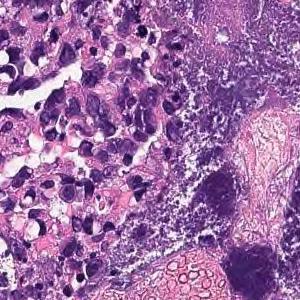
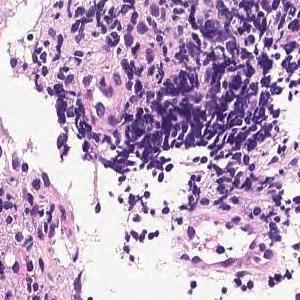
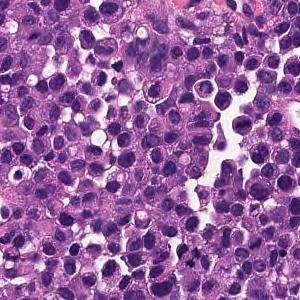
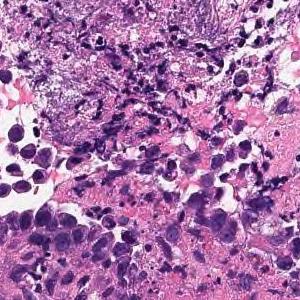
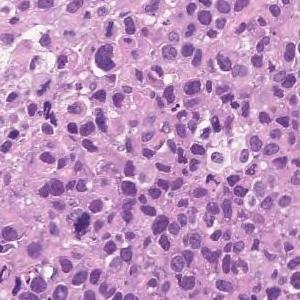
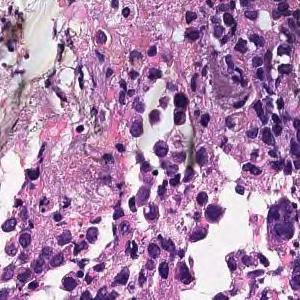
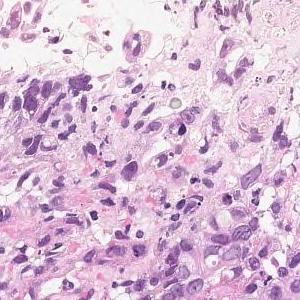
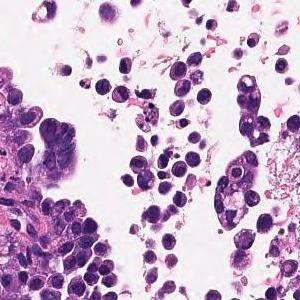
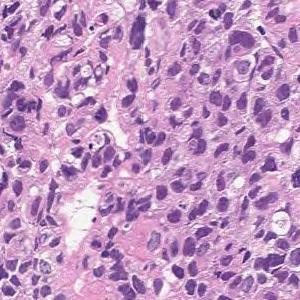
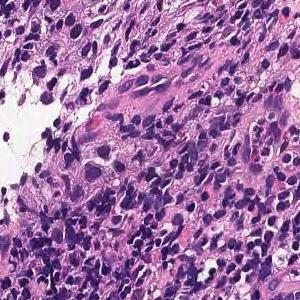
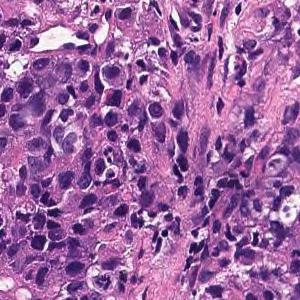
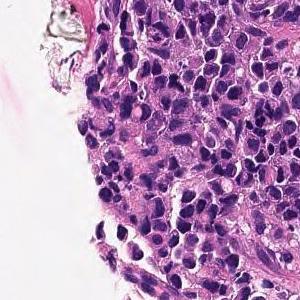
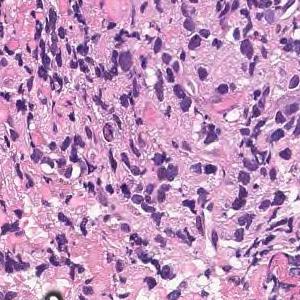
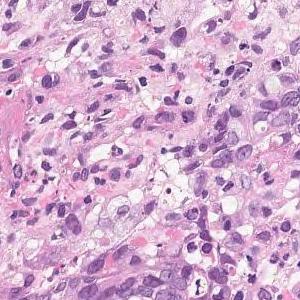
Scanned at ×20; H&E; 14 patches cut from one gastric biopsy slide; 300 × 300 pixels each.
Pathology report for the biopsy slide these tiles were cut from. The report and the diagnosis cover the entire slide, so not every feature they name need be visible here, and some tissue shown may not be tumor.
Large sheet-like or diffusely infiltrating tumor tissue is found in the superficial epithelium. Poorly differentiated adenocarcinoma, solid-type
Histologic type: Poorly differentiated adenocarcinoma, solid type, a category of the Japanese Classification of Gastric Carcinoma; in the WHO 2019 classification it is tubular adenocarcinoma, poorly differentiated.
